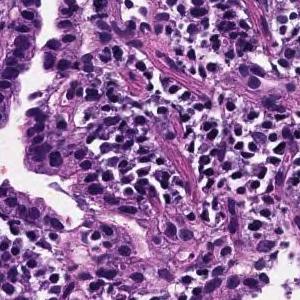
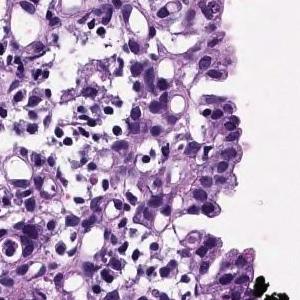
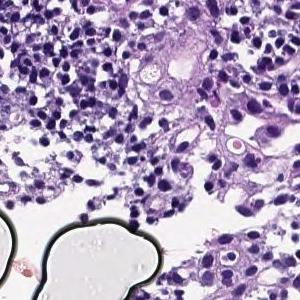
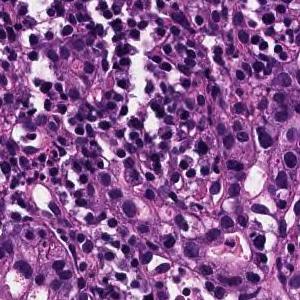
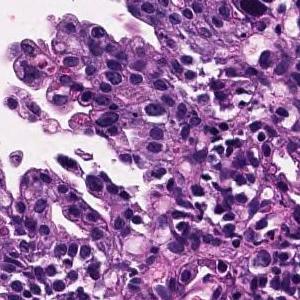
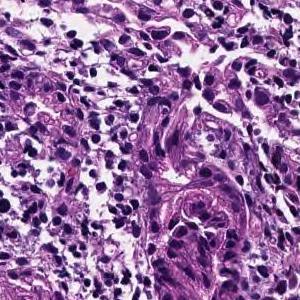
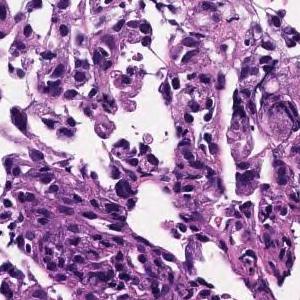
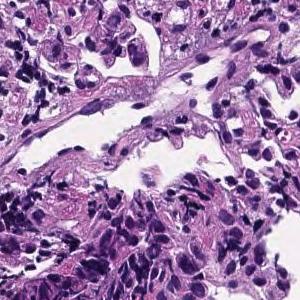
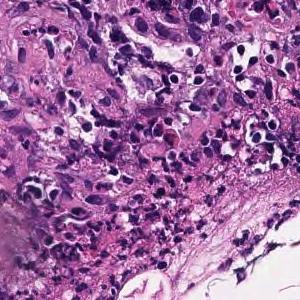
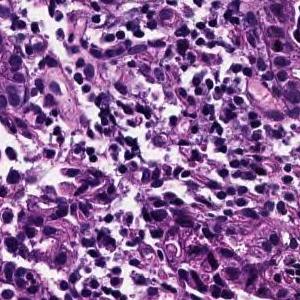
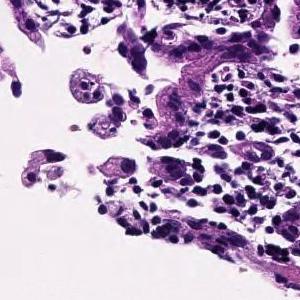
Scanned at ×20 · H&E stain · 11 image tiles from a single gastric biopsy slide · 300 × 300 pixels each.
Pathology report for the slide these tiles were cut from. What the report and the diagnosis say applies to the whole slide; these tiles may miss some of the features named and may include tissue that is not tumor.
Medium to small, irregular glandular ducts are formed in the superficial epithelium, and in some cases, the glandular ducts are fused to show solid alveolar lesions and infiltrating tumor tissue is observed. Moderately to poorly differentiated adenocarcinoma.
